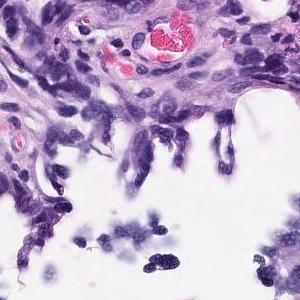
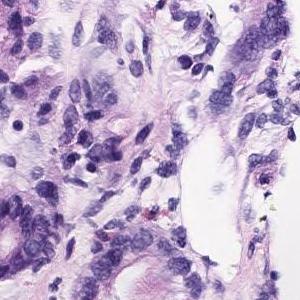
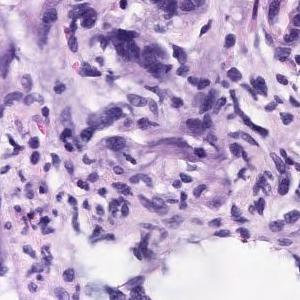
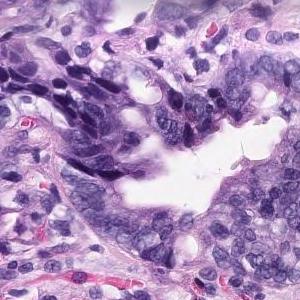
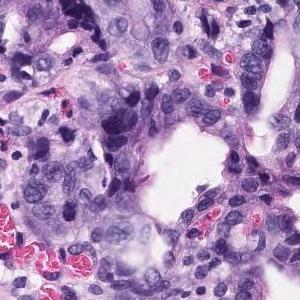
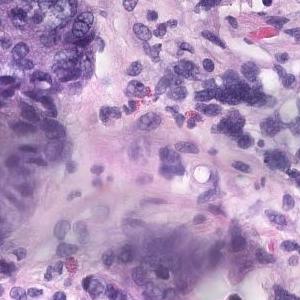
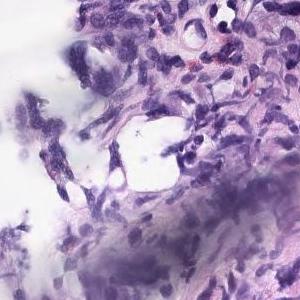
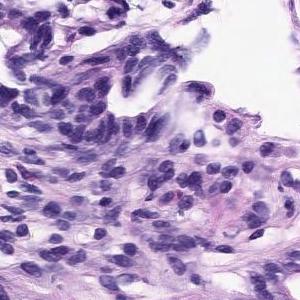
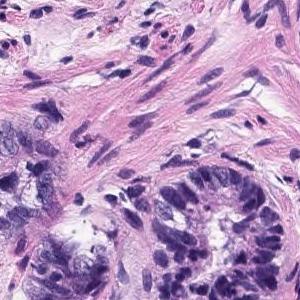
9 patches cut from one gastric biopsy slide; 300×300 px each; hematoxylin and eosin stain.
Report on the slide these tiles come from. The findings and the diagnosis refer to the entire slide; these tiles show only part of it, possibly with non-tumor tissue, and may not show every feature named.
In the superficial epithelium, tumor tissue that invades by forming medium-sized to small, irregular ducts is observed. Moderately differentiated adenocarcinoma
Classified as moderately differentiated tubular adenocarcinoma.
